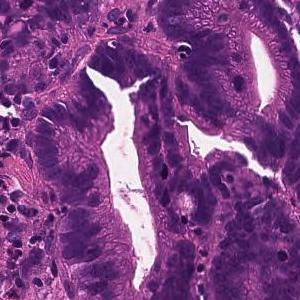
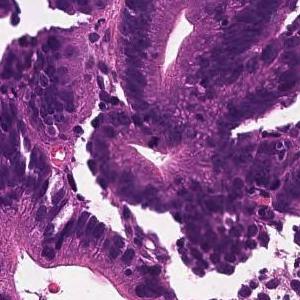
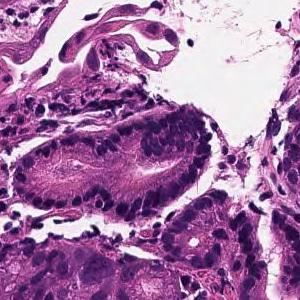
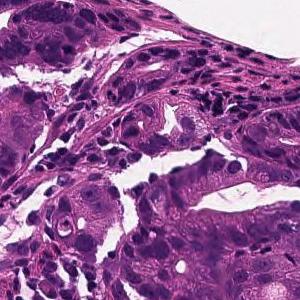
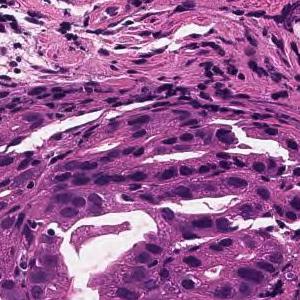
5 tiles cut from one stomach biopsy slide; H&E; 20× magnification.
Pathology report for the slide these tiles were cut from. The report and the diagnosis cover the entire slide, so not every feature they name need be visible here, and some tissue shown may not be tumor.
From the superficial epithelium to the muscularis mucosae, tumor tissue that invades by forming medium-sized irregular gland ducts is observed. Well differentiated tubular adenocarcinoma
